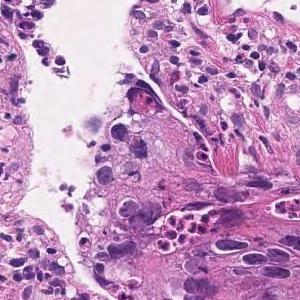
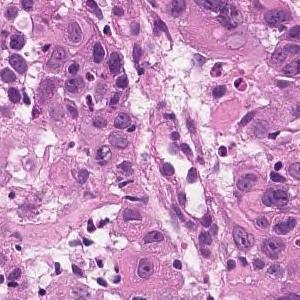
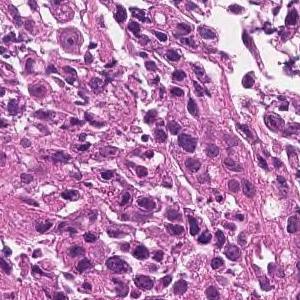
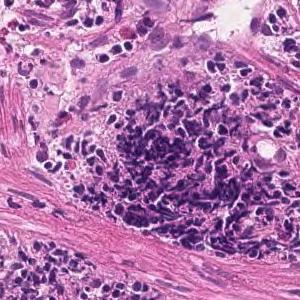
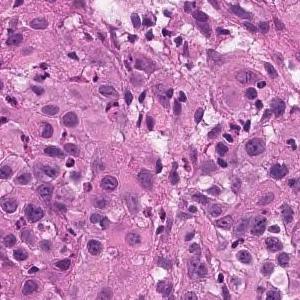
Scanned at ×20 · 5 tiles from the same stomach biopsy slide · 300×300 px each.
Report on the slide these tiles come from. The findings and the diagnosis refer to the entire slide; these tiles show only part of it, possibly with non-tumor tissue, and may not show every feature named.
The superficial epithelium shows a large sheet-like shape, and some tumor tissue infiltrates with small irregular ducts. Poorly differentiated adenocarcinoma, solid-type
Classified as poorly differentiated adenocarcinoma, solid type, a category of the Japanese Classification of Gastric Carcinoma; in the WHO 2019 classification it is tubular adenocarcinoma, poorly differentiated.
